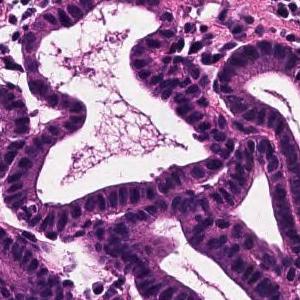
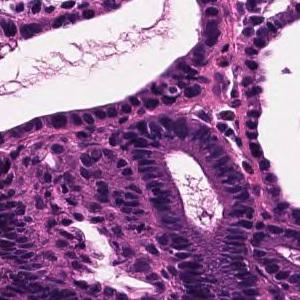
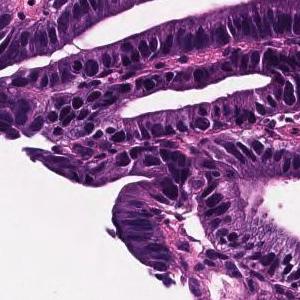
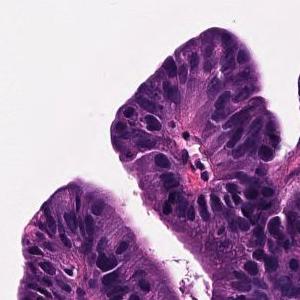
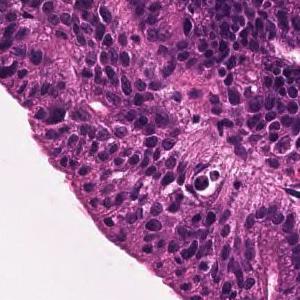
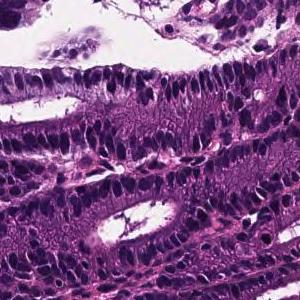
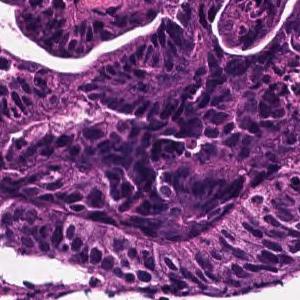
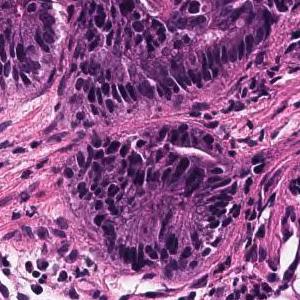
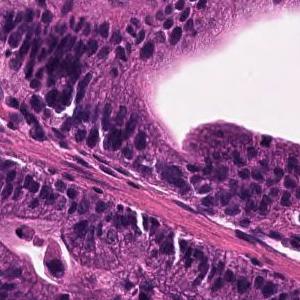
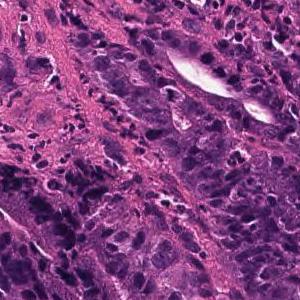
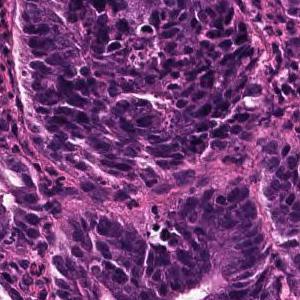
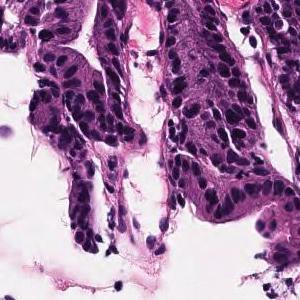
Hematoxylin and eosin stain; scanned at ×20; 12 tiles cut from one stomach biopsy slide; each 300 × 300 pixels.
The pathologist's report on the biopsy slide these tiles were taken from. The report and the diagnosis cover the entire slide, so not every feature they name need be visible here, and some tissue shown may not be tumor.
Tumor tissue that remains within the superficial epithelium and is infiltrated by large papillary or irregular ducts that fuse with each other is observed. Well differentiated tubular adenocarcinoma
